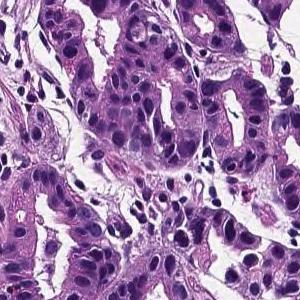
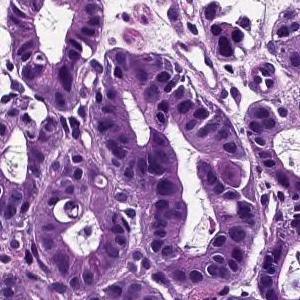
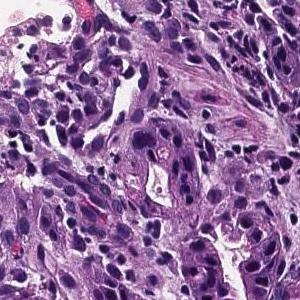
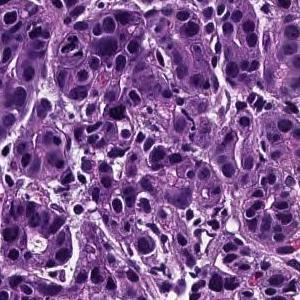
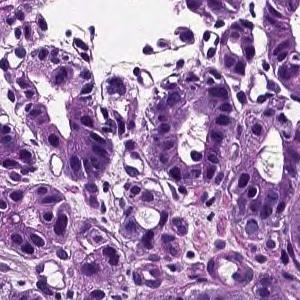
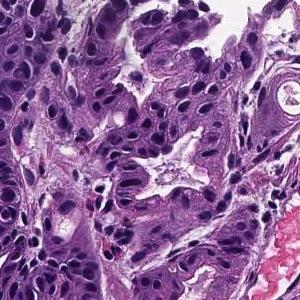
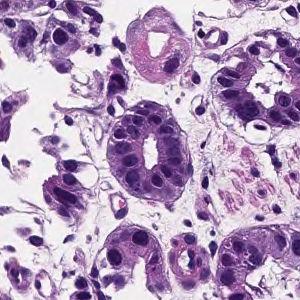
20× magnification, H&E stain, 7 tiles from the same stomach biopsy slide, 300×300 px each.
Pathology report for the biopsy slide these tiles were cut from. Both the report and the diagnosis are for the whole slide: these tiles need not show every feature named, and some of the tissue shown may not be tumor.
From the superficial epithelium to the muscularis mucosae, tumor tissue consisting of medium-sized and irregular glandular ducts infiltrating is observed. Well differentiated tubular adenocarcinoma
